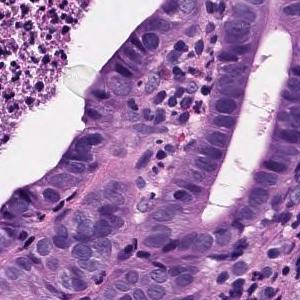
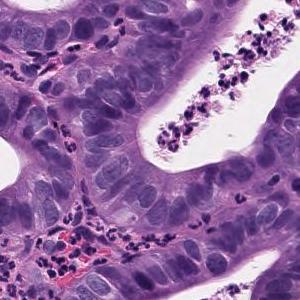
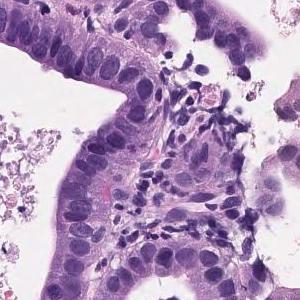
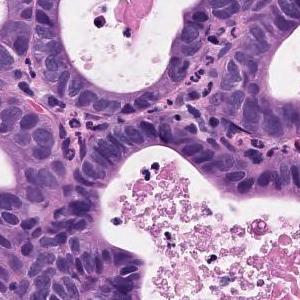
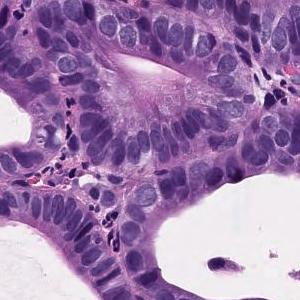
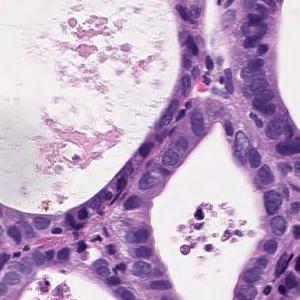
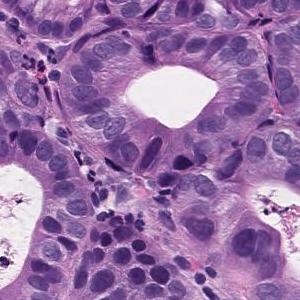
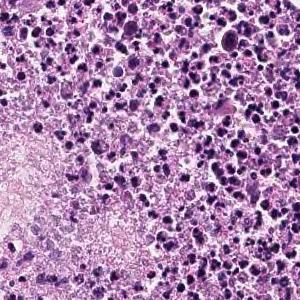
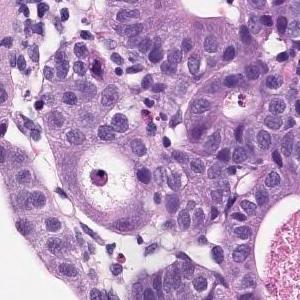
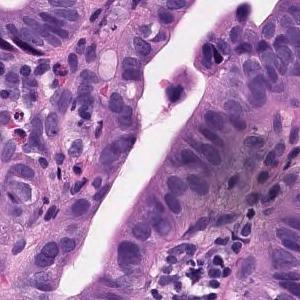
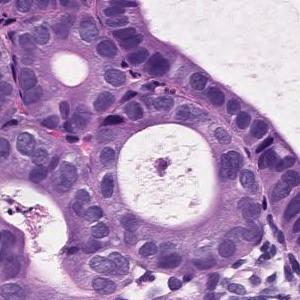
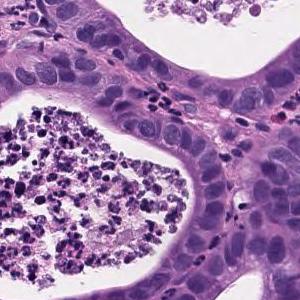
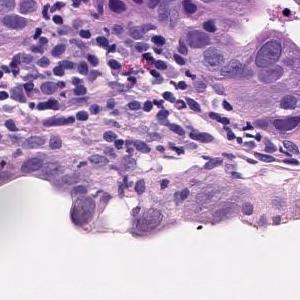
13 tiles from the same stomach biopsy slide, each 300 × 300 pixels, H&E.
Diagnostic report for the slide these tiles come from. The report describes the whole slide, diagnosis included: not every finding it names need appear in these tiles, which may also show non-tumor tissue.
Tumor tissue consisting of proliferative medium to large, round or irregular glandular ducts in the superficial epithelium. Well differentiated adenocarcinoma.
Classified as well differentiated tubular adenocarcinoma.
